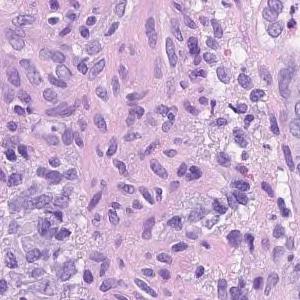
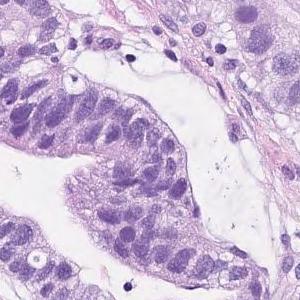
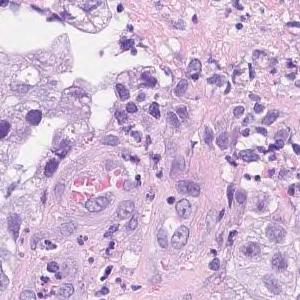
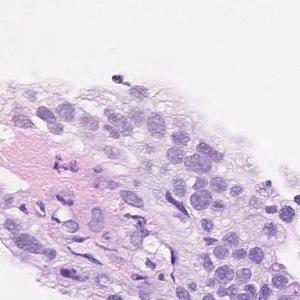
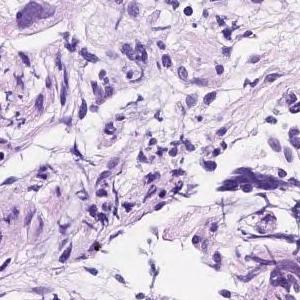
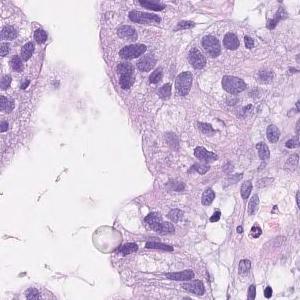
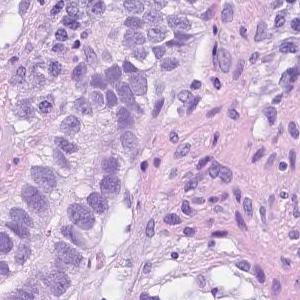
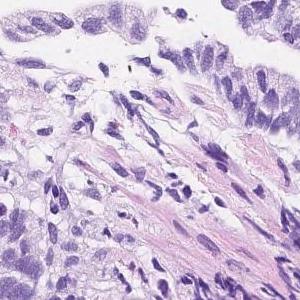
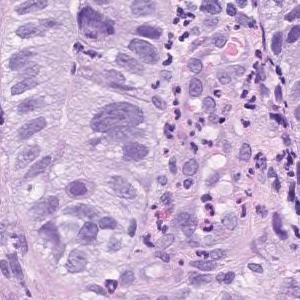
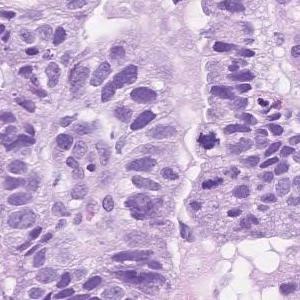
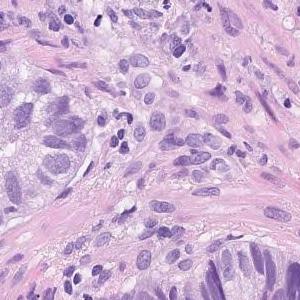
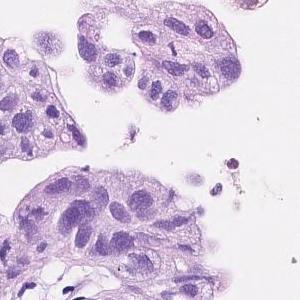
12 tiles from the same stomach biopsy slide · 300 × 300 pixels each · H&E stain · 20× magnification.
Pathology report for the biopsy slide these tiles were cut from. The report and the diagnosis cover the entire slide, so not every feature they name need be visible here, and some tissue shown may not be tumor.
Atypical l cells with atypical nuclei forming solid or diffuse vesicles or small irregular atypical ducts and growing in a complex manner. moderately differentiated tubular adenocarcinoma
